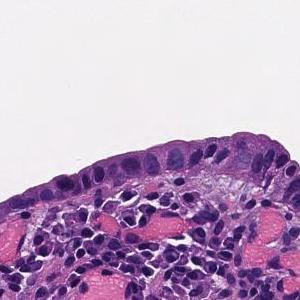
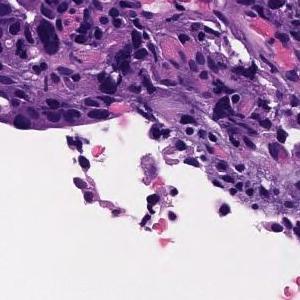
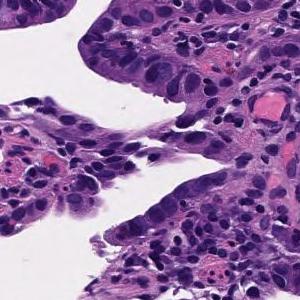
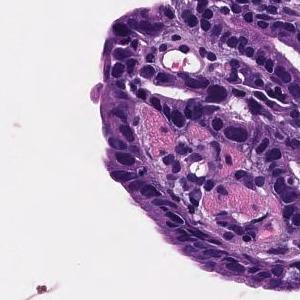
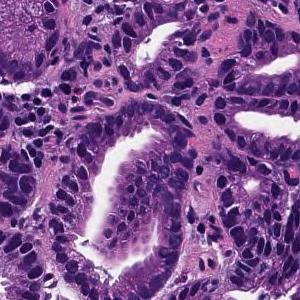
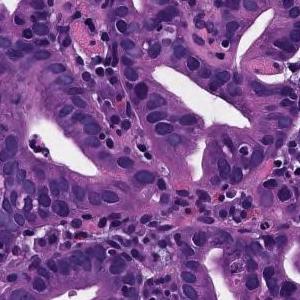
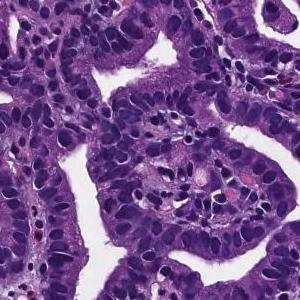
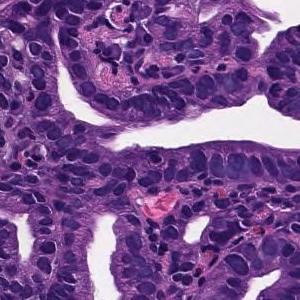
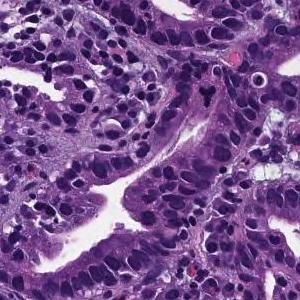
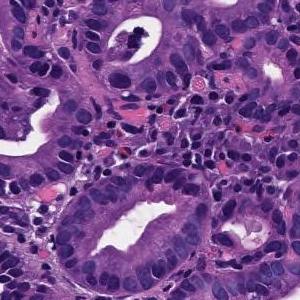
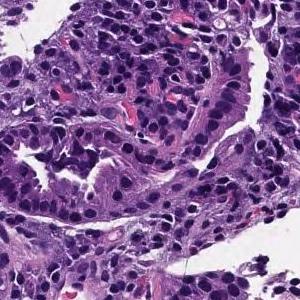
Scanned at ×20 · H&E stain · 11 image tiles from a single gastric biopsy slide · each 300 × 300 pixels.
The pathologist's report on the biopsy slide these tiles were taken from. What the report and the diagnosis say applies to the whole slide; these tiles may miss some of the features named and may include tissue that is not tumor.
From the superficial epithelium to the muscularis mucosae, tumor tissue consisting of medium-sized and irregular glandular ducts infiltrating is observed. Well differentiated tubular adenocarcinoma
